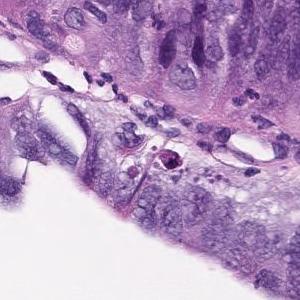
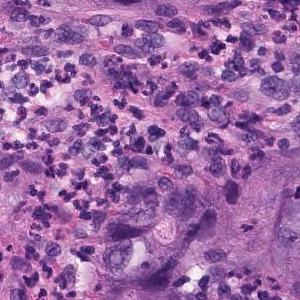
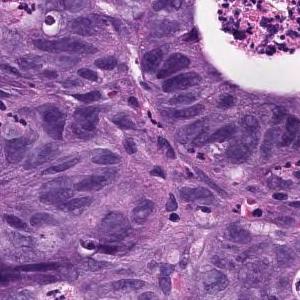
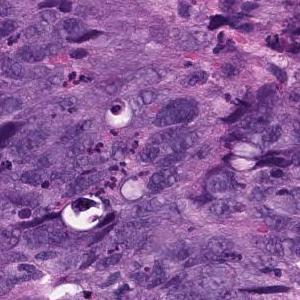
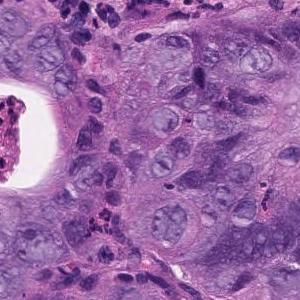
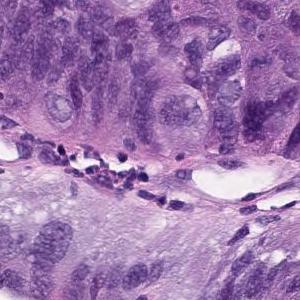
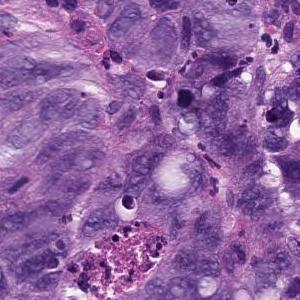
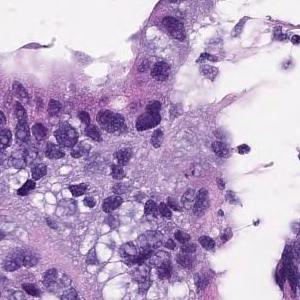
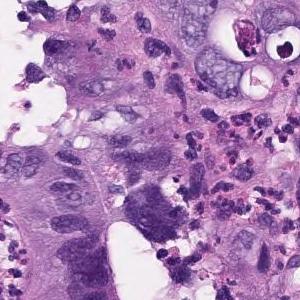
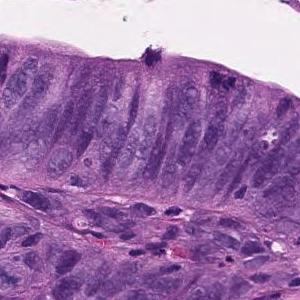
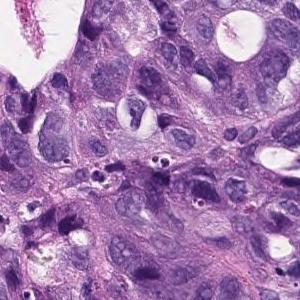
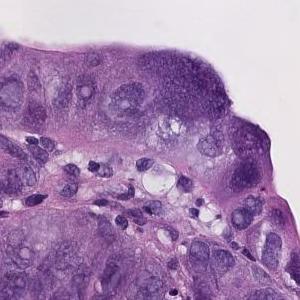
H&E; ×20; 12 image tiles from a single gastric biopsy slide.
Pathology report for the slide these tiles were cut from. The findings and the diagnosis refer to the entire slide; these tiles show only part of it, possibly with non-tumor tissue, and may not show every feature named.
In the superficial epithelium, tumor tissue that invades by forming medium-sized to small, irregular ducts is observed. Moderately differentiated adenocarcinoma.
Subtype: Moderately differentiated tubular adenocarcinoma.
